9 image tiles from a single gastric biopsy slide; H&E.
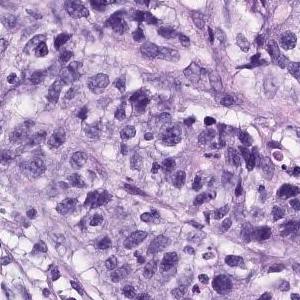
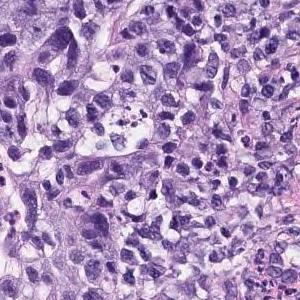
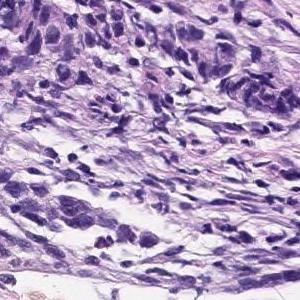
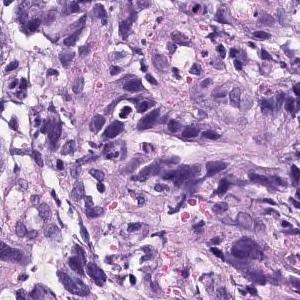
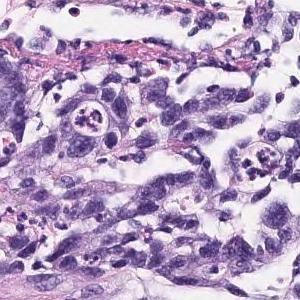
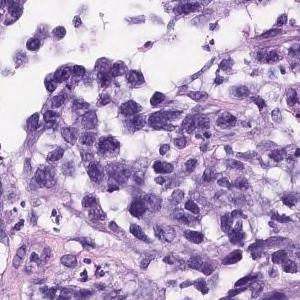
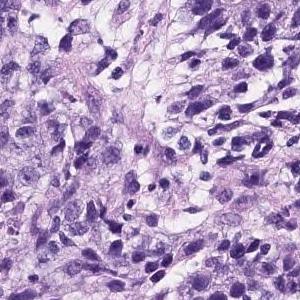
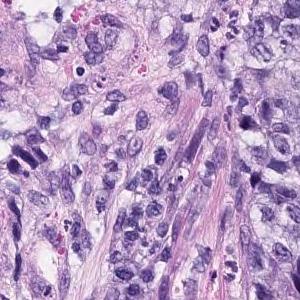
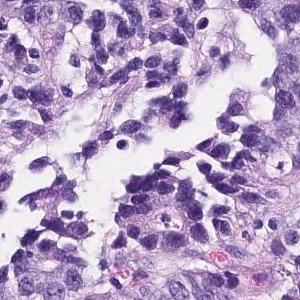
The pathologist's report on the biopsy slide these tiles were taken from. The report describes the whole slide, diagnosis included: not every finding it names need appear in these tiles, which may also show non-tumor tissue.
The superficial epithelium shows a large sheet-like shape, and some tumor tissue infiltrates with small irregular ducts. Poorly differentiated adenocarcinoma, solid-type
Histological subtype: Poorly differentiated adenocarcinoma, solid type (Japanese Classification of Gastric Carcinoma). The WHO 2019 equivalent is tubular adenocarcinoma, poorly differentiated.
